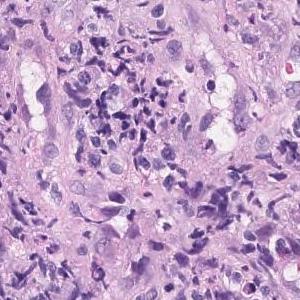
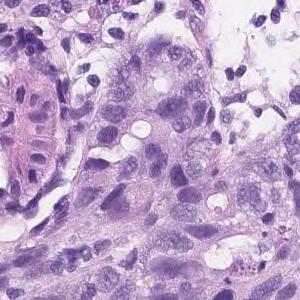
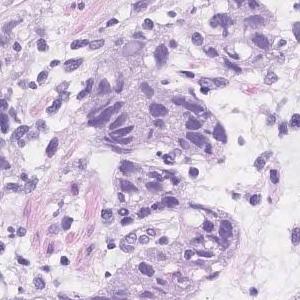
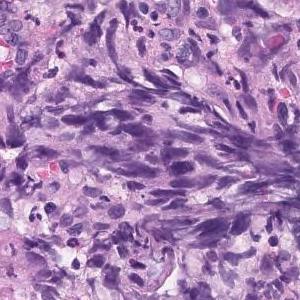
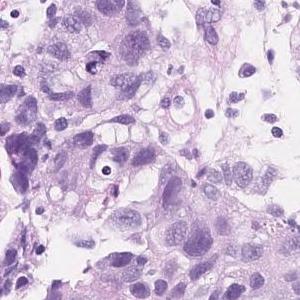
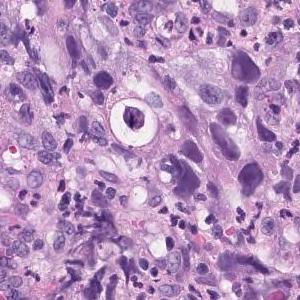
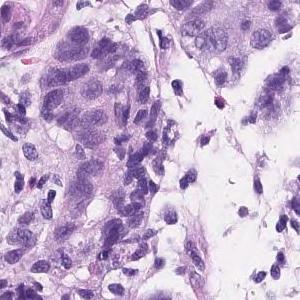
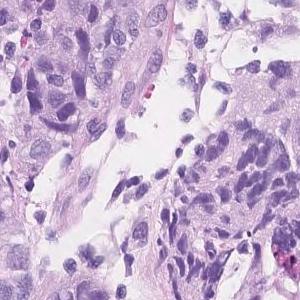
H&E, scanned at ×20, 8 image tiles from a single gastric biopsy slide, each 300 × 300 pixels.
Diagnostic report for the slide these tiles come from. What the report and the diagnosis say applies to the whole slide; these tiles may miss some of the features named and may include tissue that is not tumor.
Atypical epithelial cells infiltrating and proliferating diffusely or while forming vesicles is observed. Poorly differentiated adenocarcinoma (poorly differentiated adenocarcinoma, solid type moderately differentiated tubular adenocarcinoma)
The dataset labels this slide poorly differentiated adenocarcinoma, solid type, a category of the Japanese Classification of Gastric Carcinoma; in the WHO 2019 classification it is tubular adenocarcinoma, poorly differentiated.
